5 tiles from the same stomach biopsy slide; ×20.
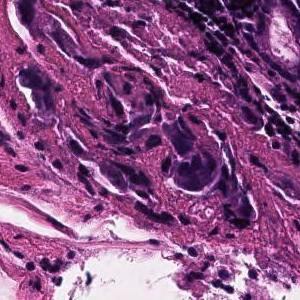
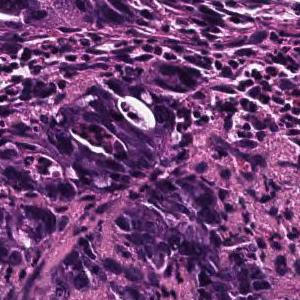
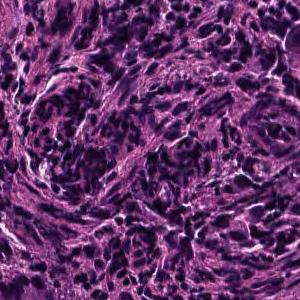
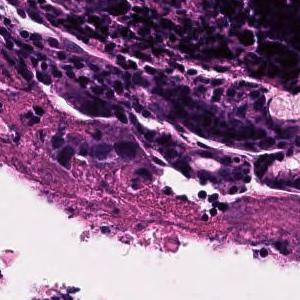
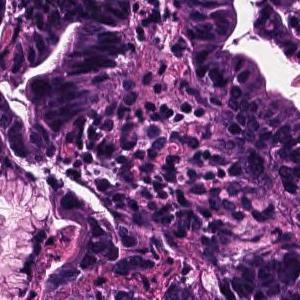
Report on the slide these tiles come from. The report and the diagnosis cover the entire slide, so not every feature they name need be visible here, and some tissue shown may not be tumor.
On the superficial epithelium, tumor tissue consisting of large, irregular glandular ducts partially fused and infiltrated is observed. Well to moderately differentiated tubular adenocarcinoma (well differentiated tubular adenocarcinoma, moderately differentiated tubular adenocarcinoma)
Histologic type: Well to moderately differentiated tubular adenocarcinoma.
